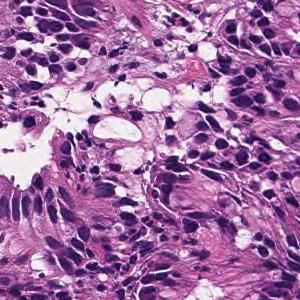
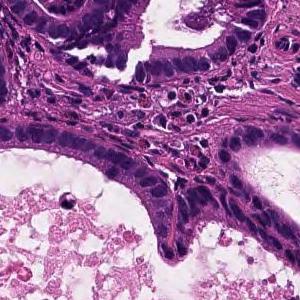
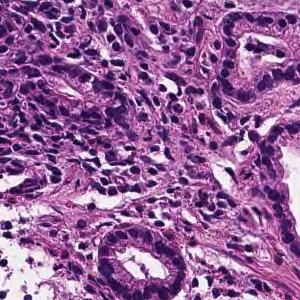
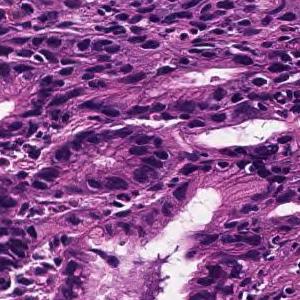
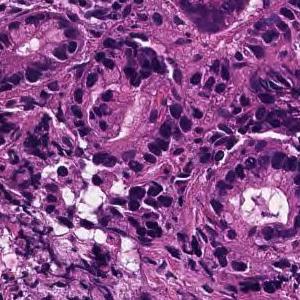
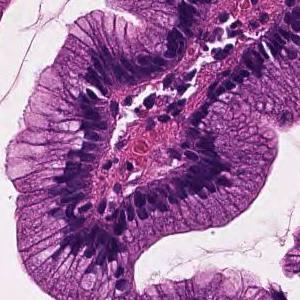
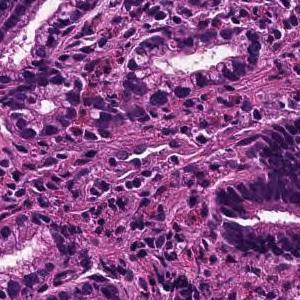
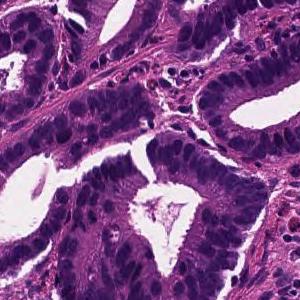
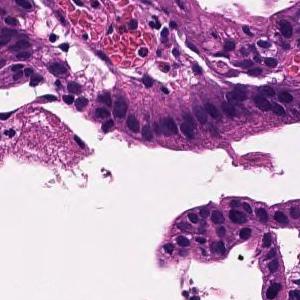
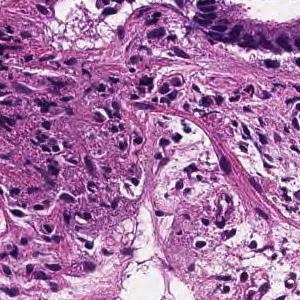
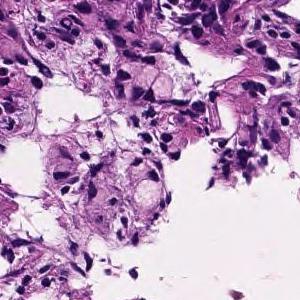
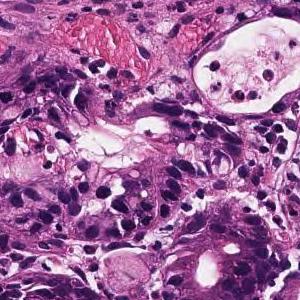
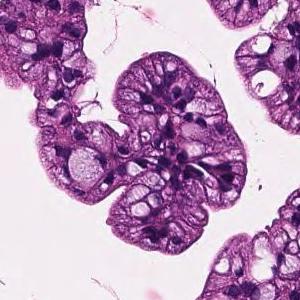
H&E, ×20, 13 tiles cut from one stomach biopsy slide.
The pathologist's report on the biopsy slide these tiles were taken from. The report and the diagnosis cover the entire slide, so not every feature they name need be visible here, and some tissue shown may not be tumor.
On the superficial epithelium, tumor tissue consisting of medium-sized and irregular glandular ducts partially fused and infiltrated is observed. Well to moderately differentiated tubular adenocarcinoma (well differentiated tubular adenocarcinoma-moderately differentiated tubular adenocarcinoma)
Tumor subtype: well to moderately differentiated tubular adenocarcinoma.
